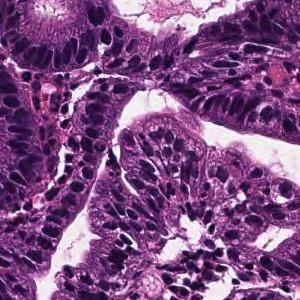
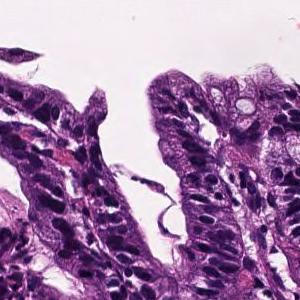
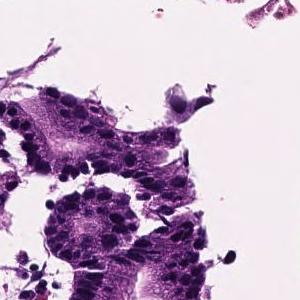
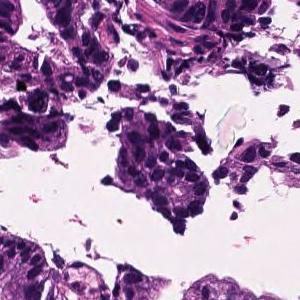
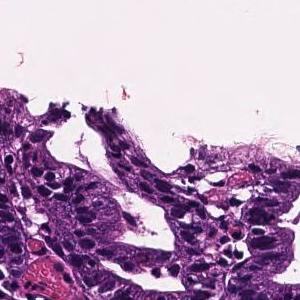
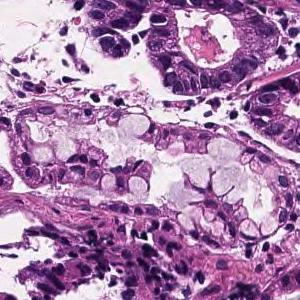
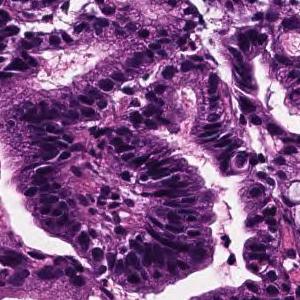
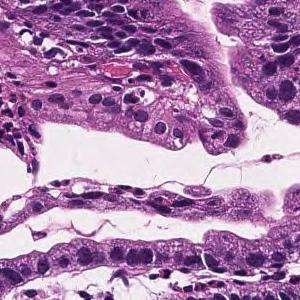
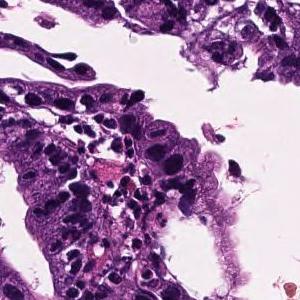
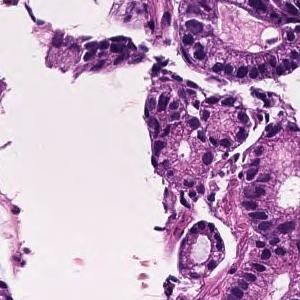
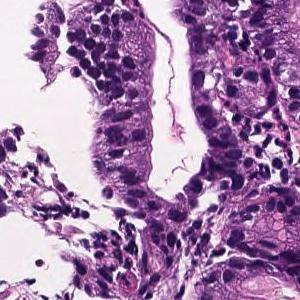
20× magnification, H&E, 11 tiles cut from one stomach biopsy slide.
Diagnostic report for the slide these tiles come from. The report describes the whole slide, diagnosis included: not every finding it names need appear in these tiles, which may also show non-tumor tissue.
On the superficial epithelium, tumor tissue that infiltrates by forming medium-sized papillary or small irregular ducts is observed. Papillary adenocarcinoma
